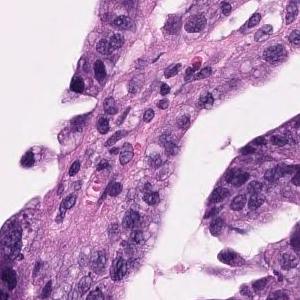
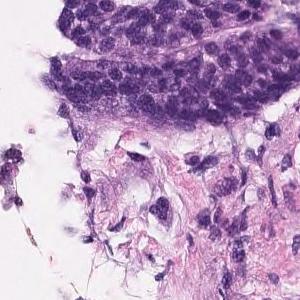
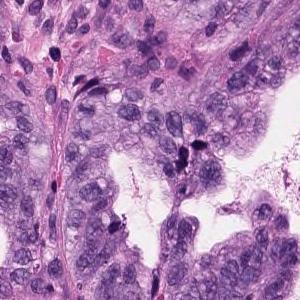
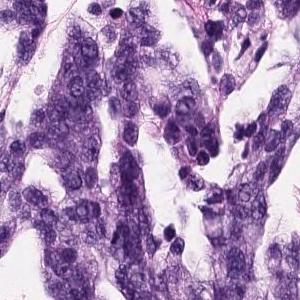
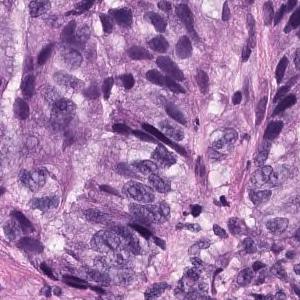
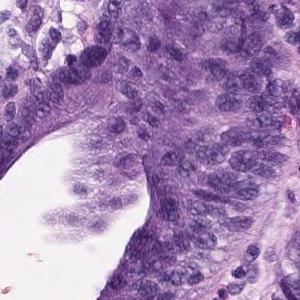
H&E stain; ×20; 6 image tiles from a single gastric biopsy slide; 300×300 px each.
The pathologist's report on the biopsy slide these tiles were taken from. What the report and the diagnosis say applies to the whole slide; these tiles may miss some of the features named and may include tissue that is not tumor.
Tumor cells are large, highly columnar, large club-shaped nuclei, and are associated with chromatin aggregation. Papillary adenocarcinoma.
